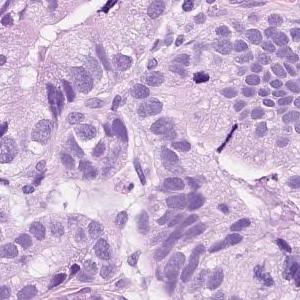
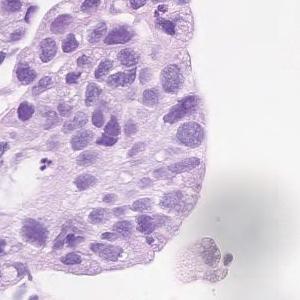
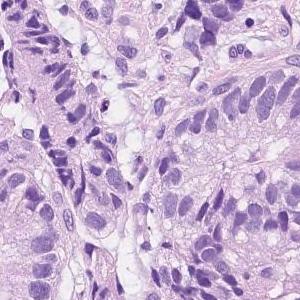
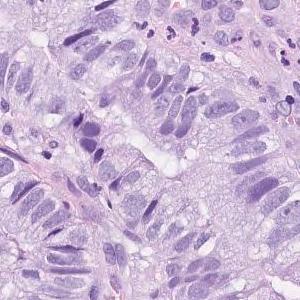
4 tiles cut from one stomach biopsy slide, hematoxylin and eosin stain, scanned at ×20.
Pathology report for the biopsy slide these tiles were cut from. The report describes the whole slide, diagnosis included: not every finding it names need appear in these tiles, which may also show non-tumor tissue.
Atypical l cells with atypical nuclei forming solid or diffuse vesicles or small irregular atypical ducts and growing in a complex manner. moderately differentiated tubular adenocarcinoma
